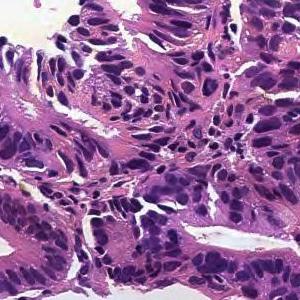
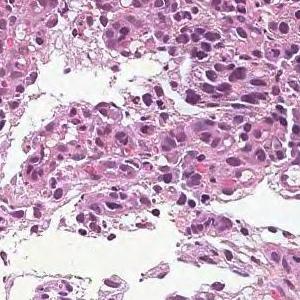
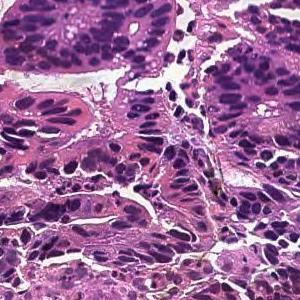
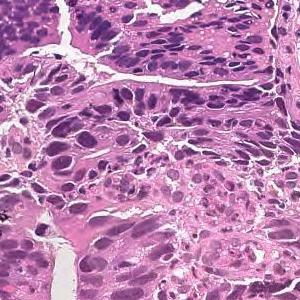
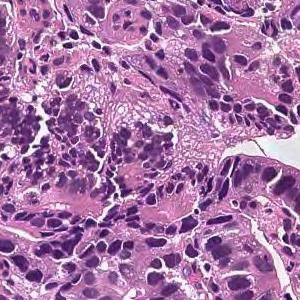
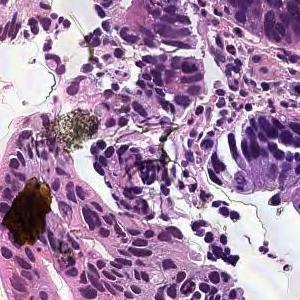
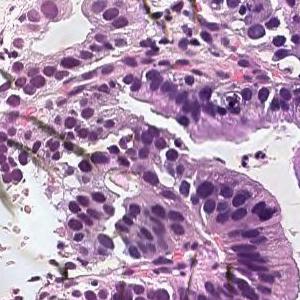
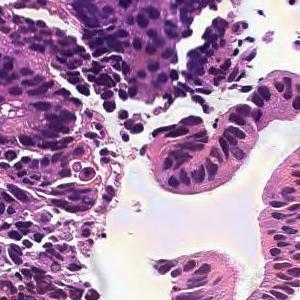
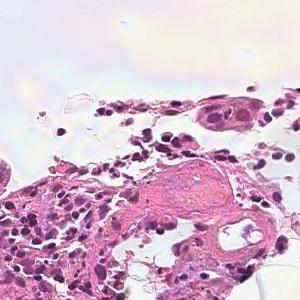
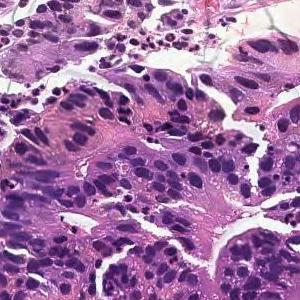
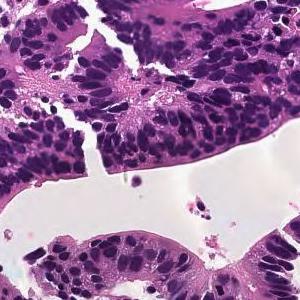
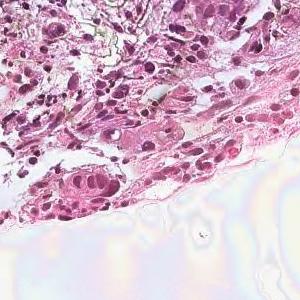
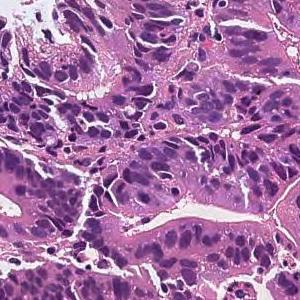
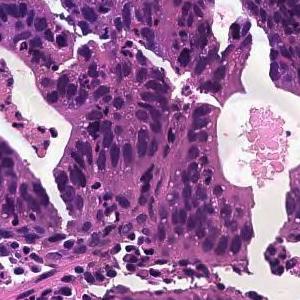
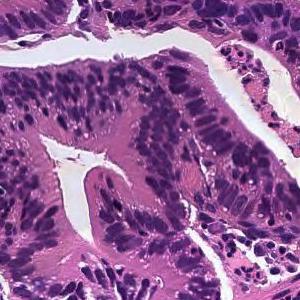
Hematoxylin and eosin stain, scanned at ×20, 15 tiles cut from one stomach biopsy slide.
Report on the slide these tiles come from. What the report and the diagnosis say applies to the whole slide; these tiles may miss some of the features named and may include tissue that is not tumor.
On the superficial epithelium, tumor tissue consisting of large irregular glandular ducts partially fused and infiltrated is observed. Well to moderately differentiated tubular adenocarcinoma (well differentiated tubular adenocarcinoma, moderately differentiated tubular adenocarcinoma)
Classified as well to moderately differentiated tubular adenocarcinoma.
